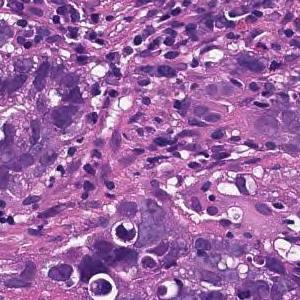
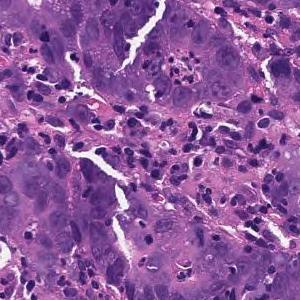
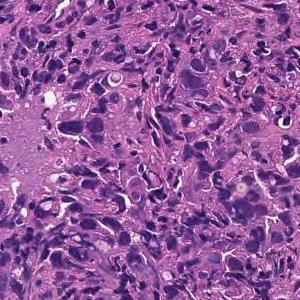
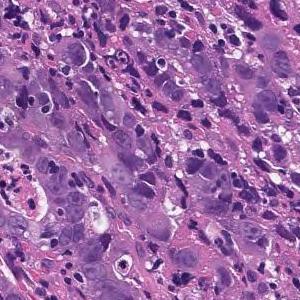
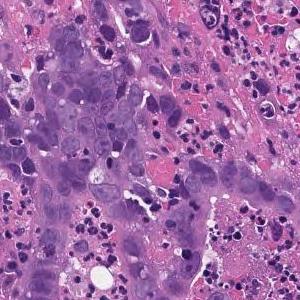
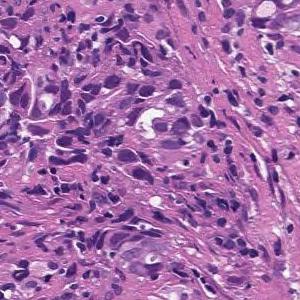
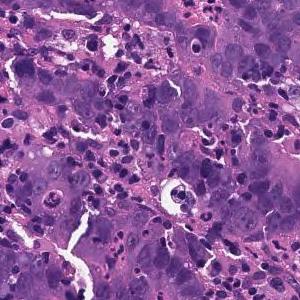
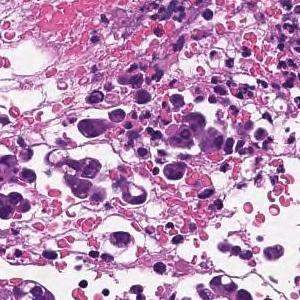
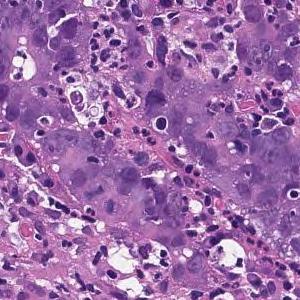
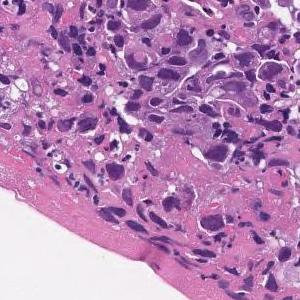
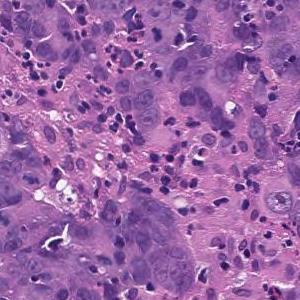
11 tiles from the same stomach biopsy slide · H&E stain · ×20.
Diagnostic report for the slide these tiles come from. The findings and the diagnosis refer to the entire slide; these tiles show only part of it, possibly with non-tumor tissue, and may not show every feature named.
Tumor tissue consisting of cord-like or small, irregular glandular ducts fused and infiltrated is observed in the superficial epithelium. Poorly differentiated adenocarcinoma, non-solid type
The term "non-solid type" comes from the Japanese Classification of Gastric Carcinoma.
